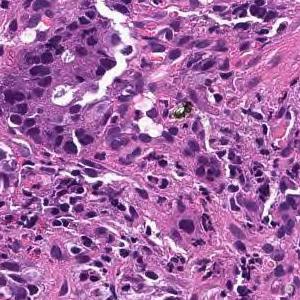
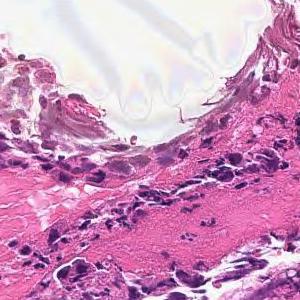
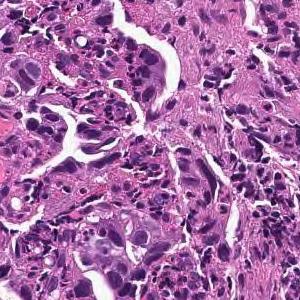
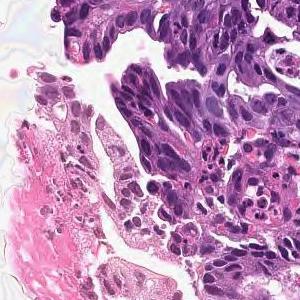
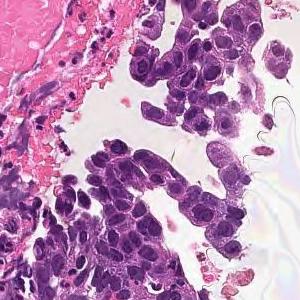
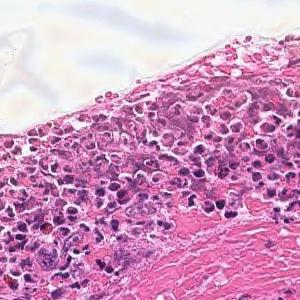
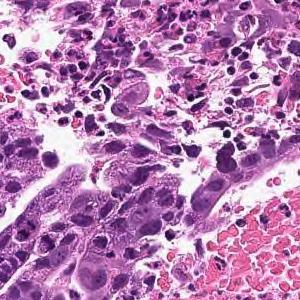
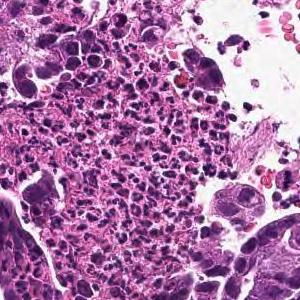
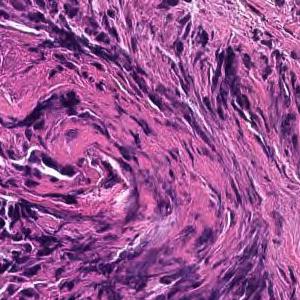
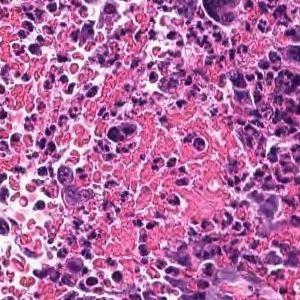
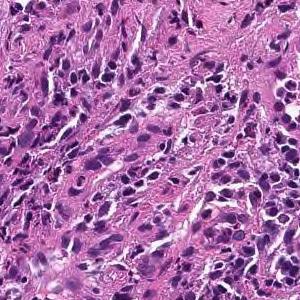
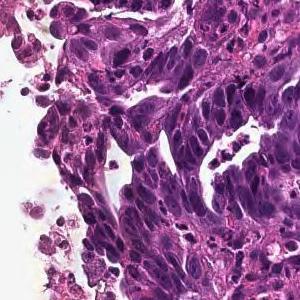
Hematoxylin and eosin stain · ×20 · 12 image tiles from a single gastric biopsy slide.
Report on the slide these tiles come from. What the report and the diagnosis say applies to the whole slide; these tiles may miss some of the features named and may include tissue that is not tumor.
In the superficial epithelium, tumor tissue that invades by forming medium-sized to small, irregular ducts is observed. moderately differentiated tubular adenocarcinoma.
